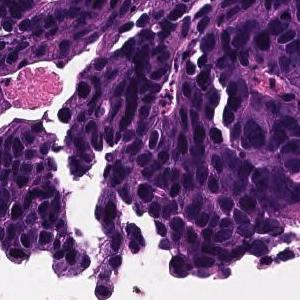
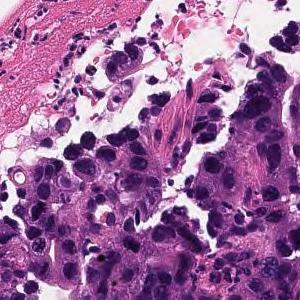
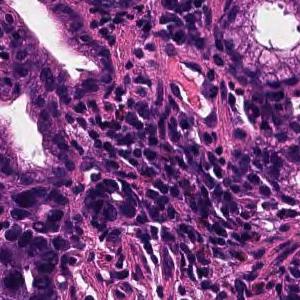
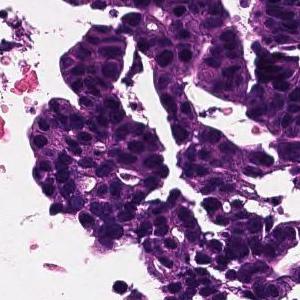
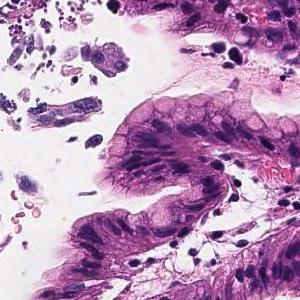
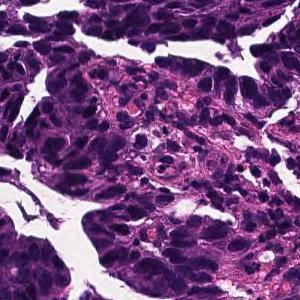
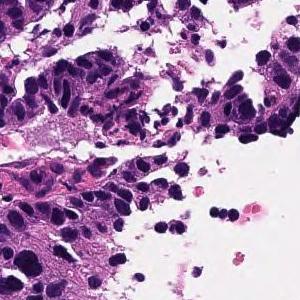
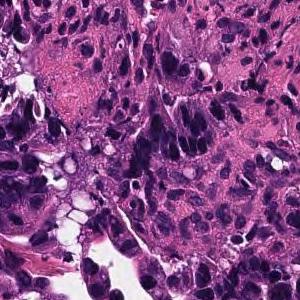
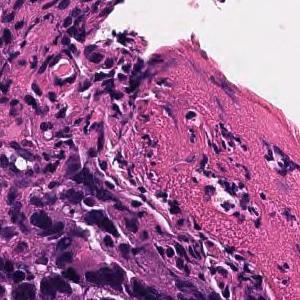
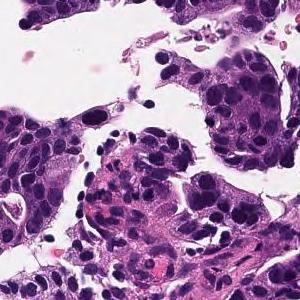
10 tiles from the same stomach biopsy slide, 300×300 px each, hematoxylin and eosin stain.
The pathologist's report on the biopsy slide these tiles were taken from. The findings and the diagnosis refer to the entire slide; these tiles show only part of it, possibly with non-tumor tissue, and may not show every feature named.
In the superficial epithelium, tumor tissue that invades by forming medium-sized to small, irregular ducts is observed. moderately differentiated tubular adenocarcinoma.
